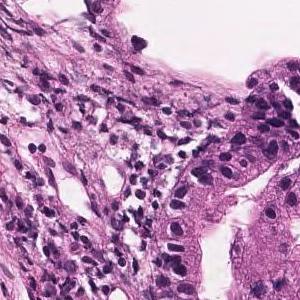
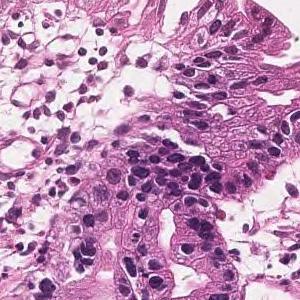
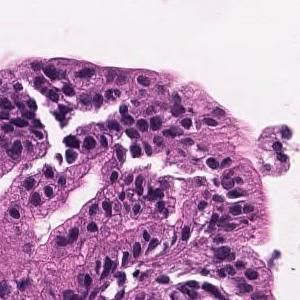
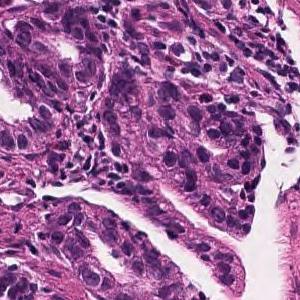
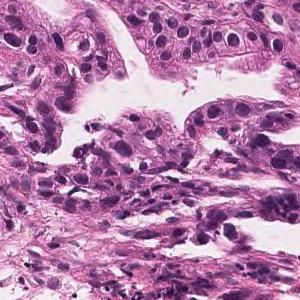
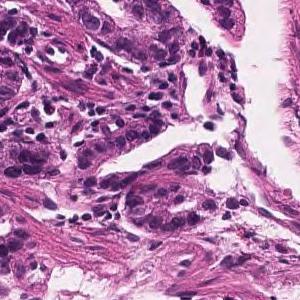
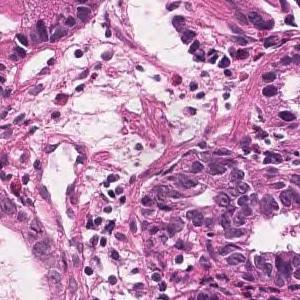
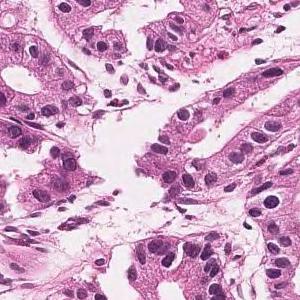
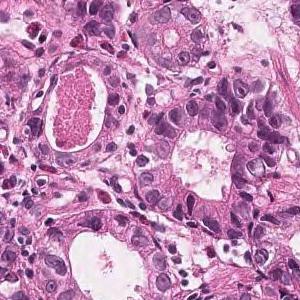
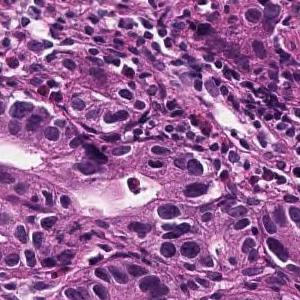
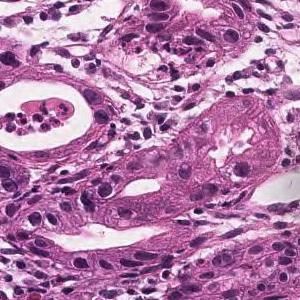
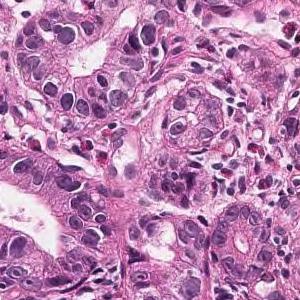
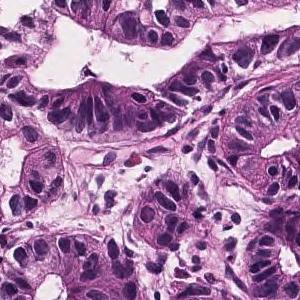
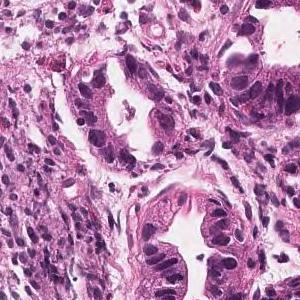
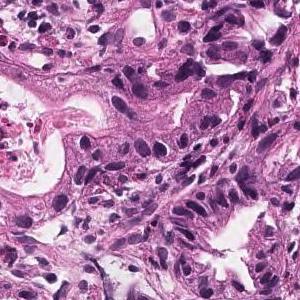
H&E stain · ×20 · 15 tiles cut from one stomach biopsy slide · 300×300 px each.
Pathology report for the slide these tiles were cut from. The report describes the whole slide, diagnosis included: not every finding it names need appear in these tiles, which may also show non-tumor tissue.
Tumor tissue consisting of medium-sized and irregular ducts is observed infiltrating in the superficial epithelium. Tumor cells are highly columnar, with nuclei aligned basolaterally and polarized. Well differentiated tubular adenocarcinoma.
